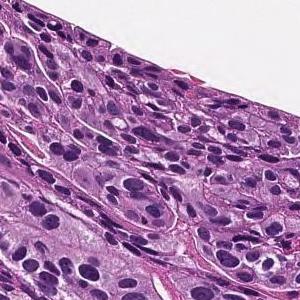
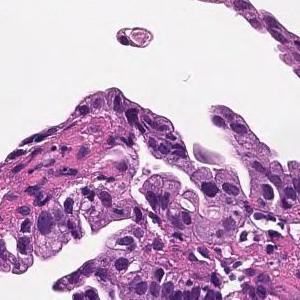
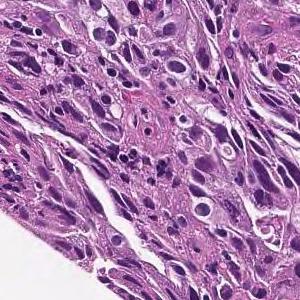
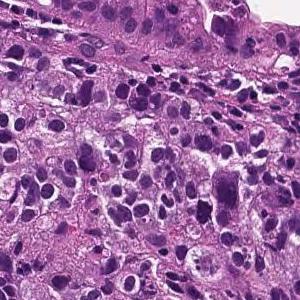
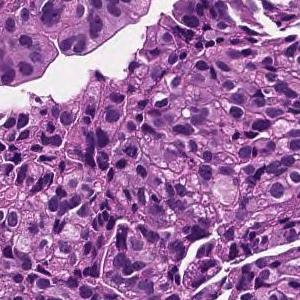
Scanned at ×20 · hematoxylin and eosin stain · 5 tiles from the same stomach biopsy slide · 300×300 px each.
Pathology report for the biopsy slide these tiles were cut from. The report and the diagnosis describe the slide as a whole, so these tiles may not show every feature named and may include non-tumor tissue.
Medium to small, irregular glandular ducts are formed in the superficial epithelium, and in some cases, the glandular ducts are fused to show solid alveolar lesions and infiltrating tumor tissue is observed. Moderately to poorly differentiated adenocarcinoma.
